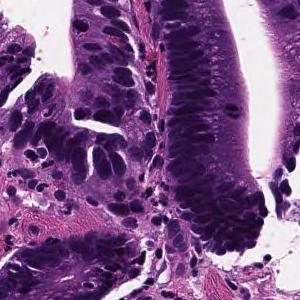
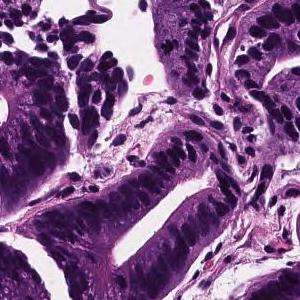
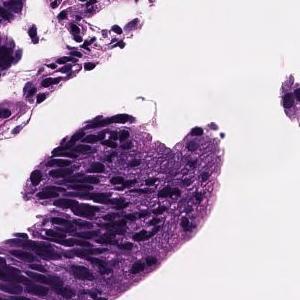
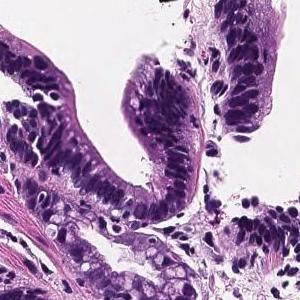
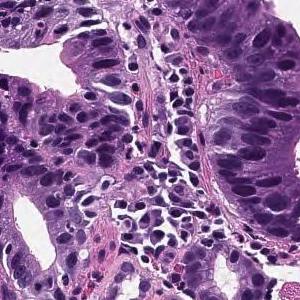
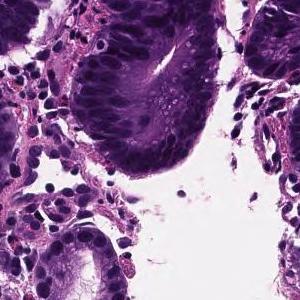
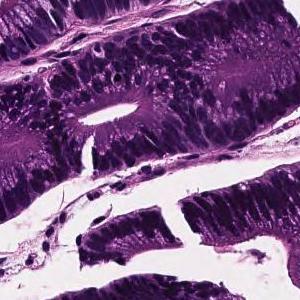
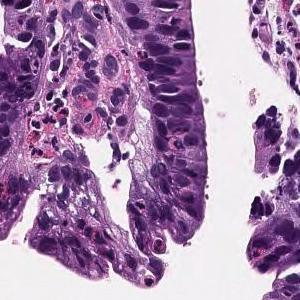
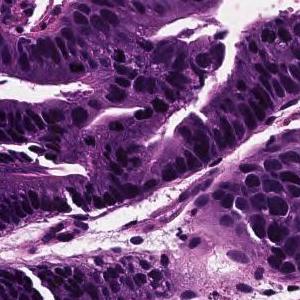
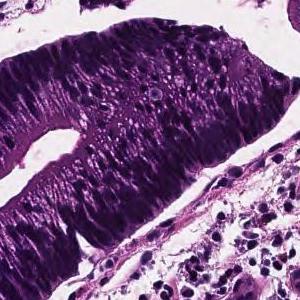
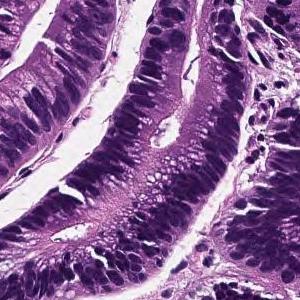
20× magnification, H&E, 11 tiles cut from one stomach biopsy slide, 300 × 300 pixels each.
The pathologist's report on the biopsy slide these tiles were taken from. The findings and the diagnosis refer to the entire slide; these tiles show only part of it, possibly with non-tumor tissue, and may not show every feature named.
Tumor cells are large, highly columnar, large club-shaped nuclei, and are associated with chromatin aggregation. Papillary adenocarcinoma.
